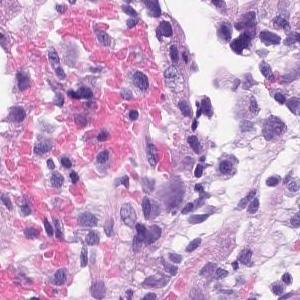
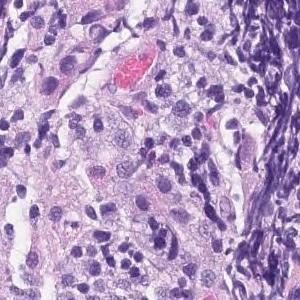
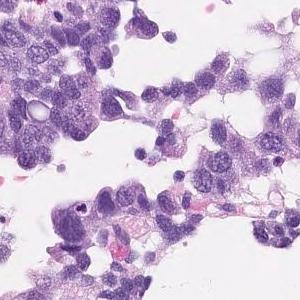
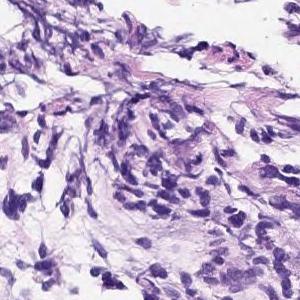
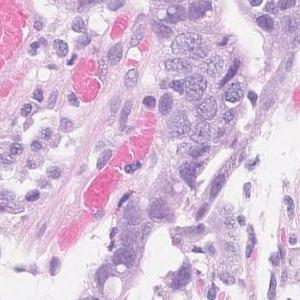
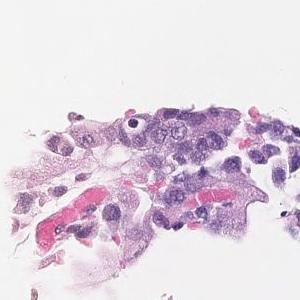
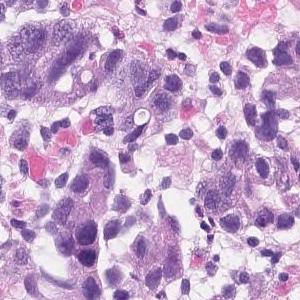
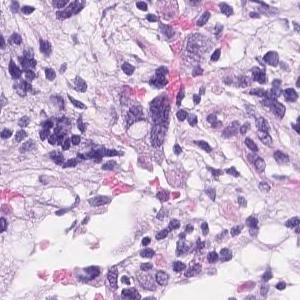
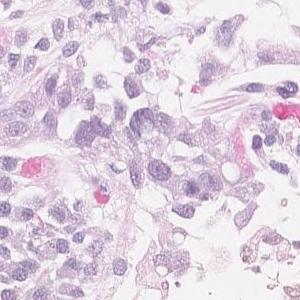
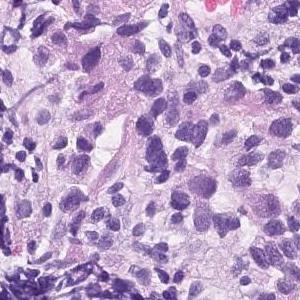
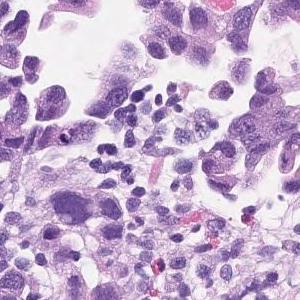
Hematoxylin and eosin stain · 11 patches cut from one gastric biopsy slide · 300×300 px each.
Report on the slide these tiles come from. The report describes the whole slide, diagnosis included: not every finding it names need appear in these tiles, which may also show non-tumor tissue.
Atypical l cells with atypical nuclei forming solid or diffuse vesicles or small irregular atypical ducts and growing in a complex manner. poorly differentiated adenocarcinoma, solid type, moderately differentiated tubular adenocarcinoma.
Mixed histology: poorly differentiated adenocarcinoma, solid type and moderately differentiated tubular adenocarcinoma.
The term "solid type" comes from the Japanese Classification of Gastric Carcinoma; the WHO 2019 equivalent is tubular adenocarcinoma, poorly differentiated.
